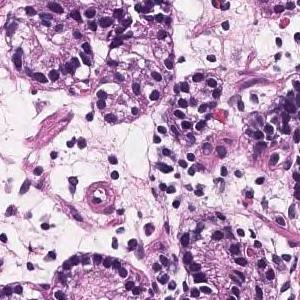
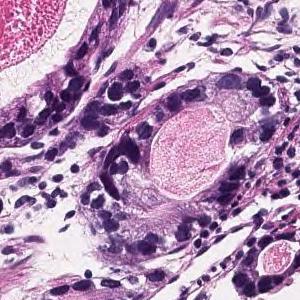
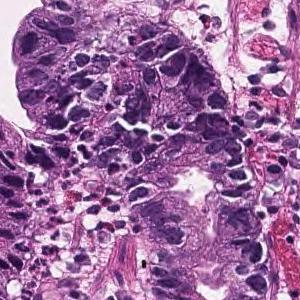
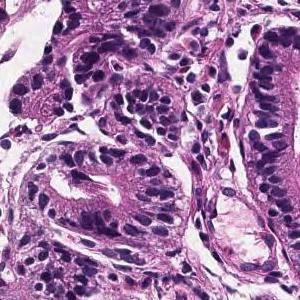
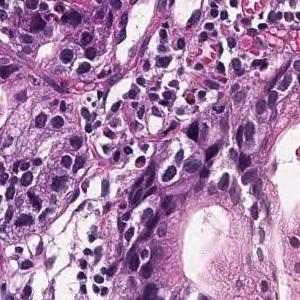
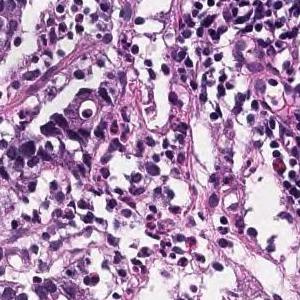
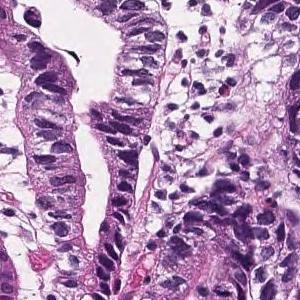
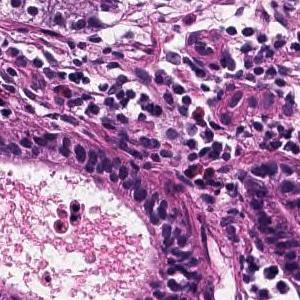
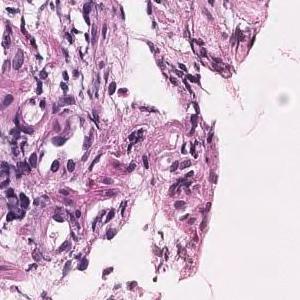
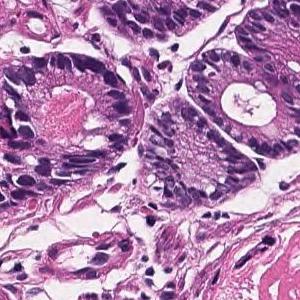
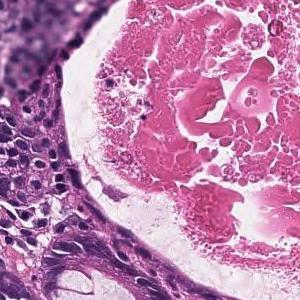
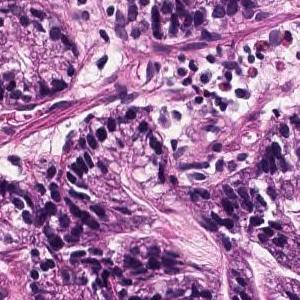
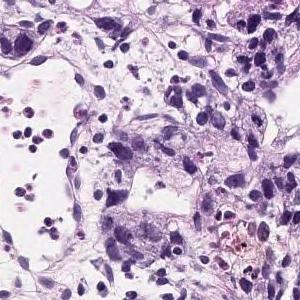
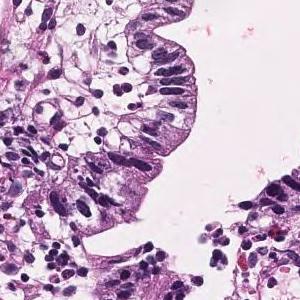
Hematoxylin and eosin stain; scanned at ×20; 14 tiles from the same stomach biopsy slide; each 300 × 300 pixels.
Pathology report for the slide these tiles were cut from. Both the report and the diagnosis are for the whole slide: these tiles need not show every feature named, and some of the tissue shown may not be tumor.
Tumor tissue consisting of medium-sized and irregular ducts is observed infiltrating in the superficial epithelium. Tumor cells are highly columnar, with nuclei aligned basolaterally and polarized. Well differentiated tubular adenocarcinoma.
